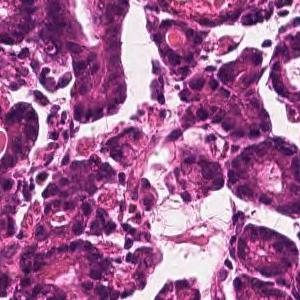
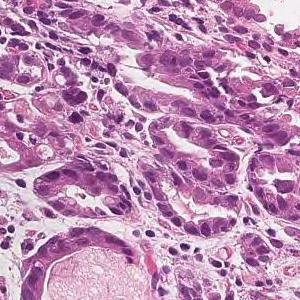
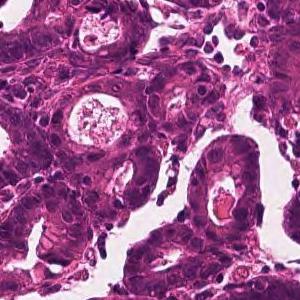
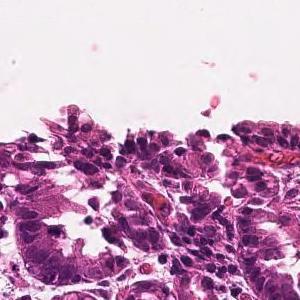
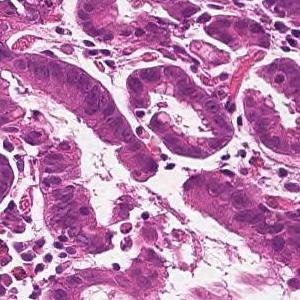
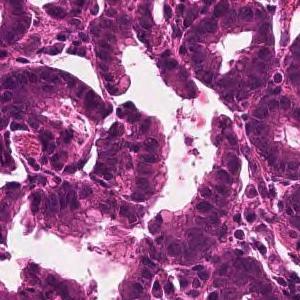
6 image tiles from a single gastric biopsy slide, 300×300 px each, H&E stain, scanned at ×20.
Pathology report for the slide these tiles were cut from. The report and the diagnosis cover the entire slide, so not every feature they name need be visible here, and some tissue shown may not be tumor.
From the superficial epithelium to the muscularis mucosae, tumor tissue consisting of medium-sized and irregular glandular ducts infiltrating is observed. Well differentiated tubular adenocarcinoma
